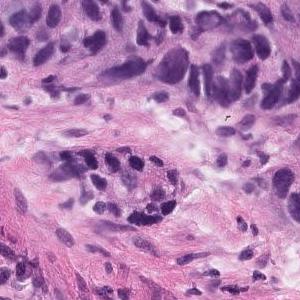
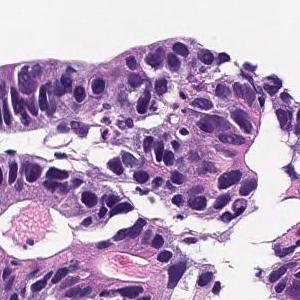
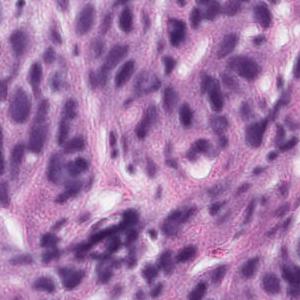
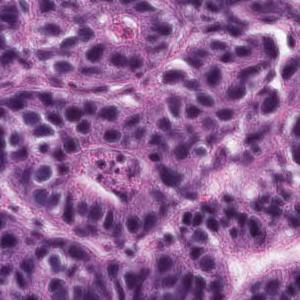
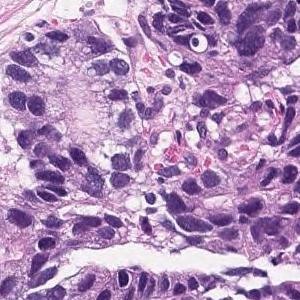
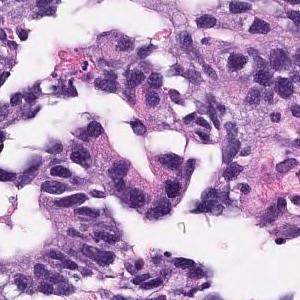
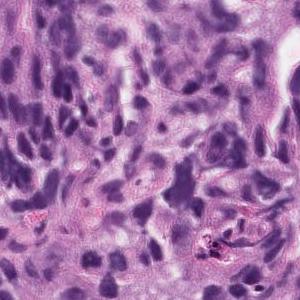
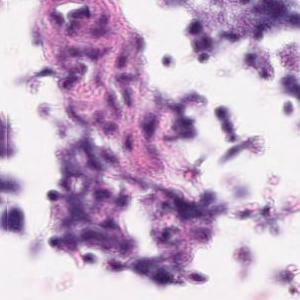
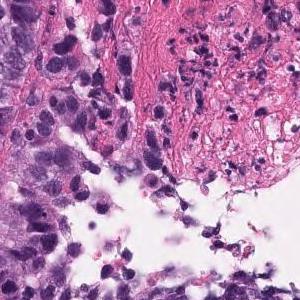
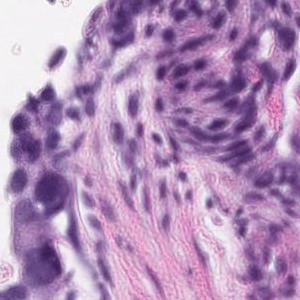
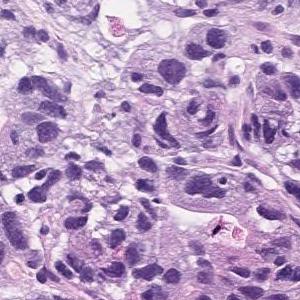
11 image tiles from a single gastric biopsy slide · hematoxylin and eosin stain · ×20.
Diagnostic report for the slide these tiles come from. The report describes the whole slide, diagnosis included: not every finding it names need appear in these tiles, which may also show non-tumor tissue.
Medium to small, irregular glandular ducts are formed in the superficial epithelium, and in some cases, the glandular ducts are fused to show solid alveolar lesions and infiltrating tumor tissue is observed. Moderately to poorly differentiated adenocarcinoma.
